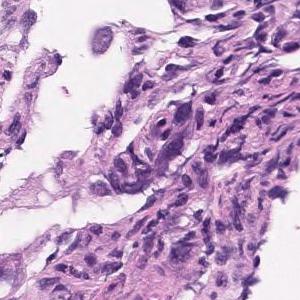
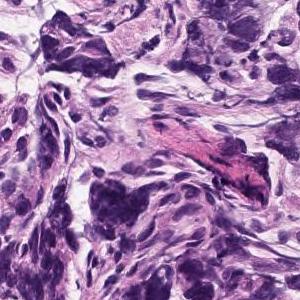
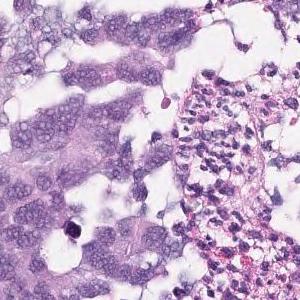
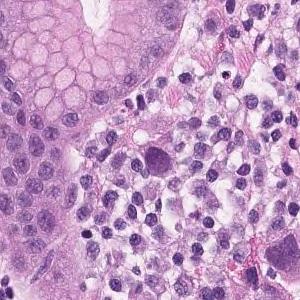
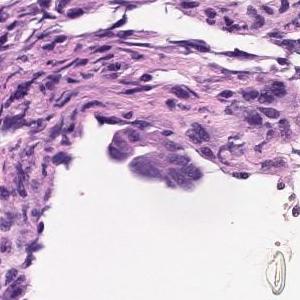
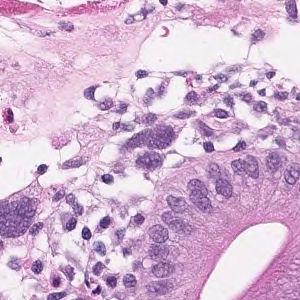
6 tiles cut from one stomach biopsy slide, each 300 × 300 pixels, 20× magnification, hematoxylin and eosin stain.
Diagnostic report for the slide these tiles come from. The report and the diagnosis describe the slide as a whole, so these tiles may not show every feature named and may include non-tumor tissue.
Atypical l cells with atypical nuclei under the mucosa growing in isolation and scattered. Moderately to poorly differentiated adenocarcinoma (moderately differentiated tubular adenocarcinoma poorly differentiated adenocarcinoma, solid type)
Histological subtype: Moderately to poorly differentiated adenocarcinoma.
"Solid type" is a category of the Japanese Classification of Gastric Carcinoma; in the WHO 2019 classification it is tubular adenocarcinoma, poorly differentiated.
